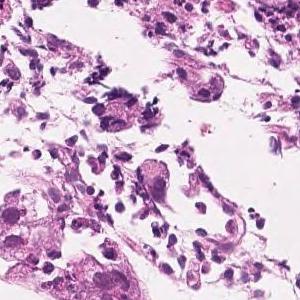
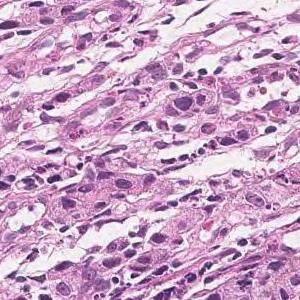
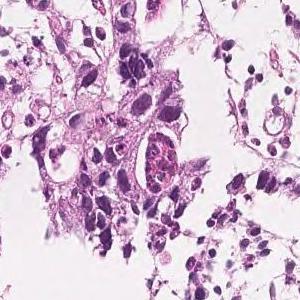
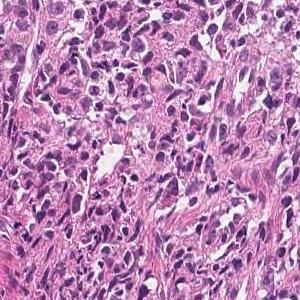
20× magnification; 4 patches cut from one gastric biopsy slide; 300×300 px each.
Pathology report for the biopsy slide these tiles were cut from. The findings and the diagnosis refer to the entire slide; these tiles show only part of it, possibly with non-tumor tissue, and may not show every feature named.
In the superficial epithelium, medium to small, irregular glandular ducts are formed, and in some parts, the glandular ducts are fused, and in other parts, small cord-like infiltrating tumor tissue is observed. Moderately to poorly differentiated adenocarcinoma.
